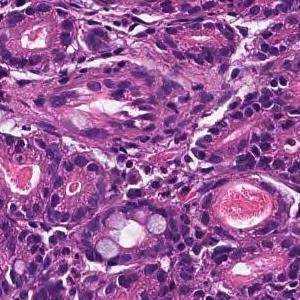
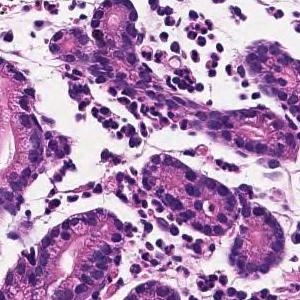
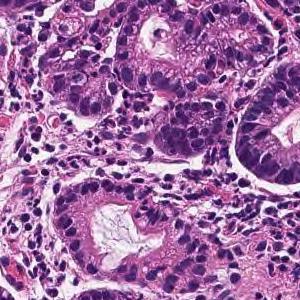
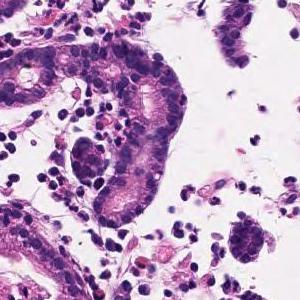
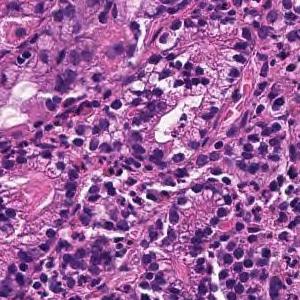
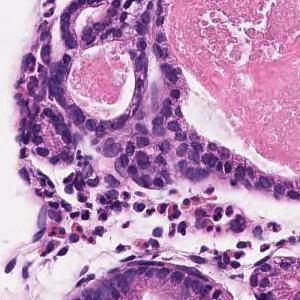
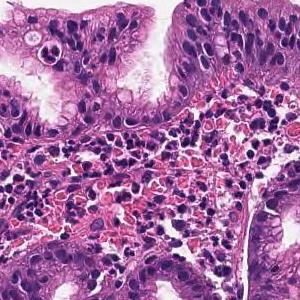
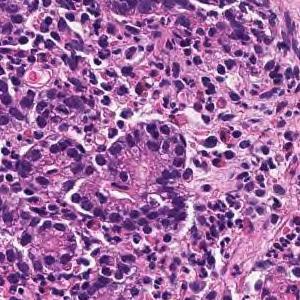
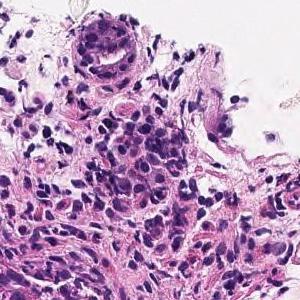
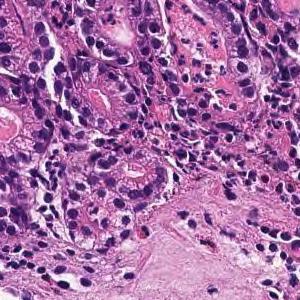
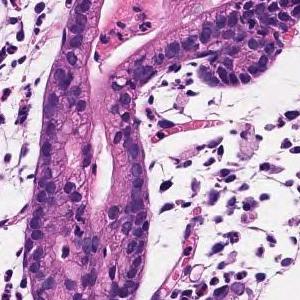
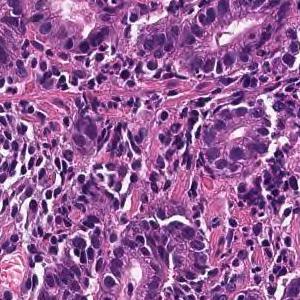
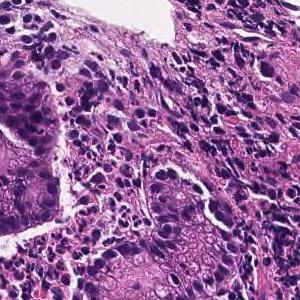
×20; 13 tiles cut from one stomach biopsy slide.
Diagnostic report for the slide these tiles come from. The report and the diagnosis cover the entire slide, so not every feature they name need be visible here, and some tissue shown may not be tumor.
Tumor tissue infiltrated and proliferated with small to medium-sized irregular tubules is observed in the superficial epithelium. Well differentiated tubular adenocarcinoma
